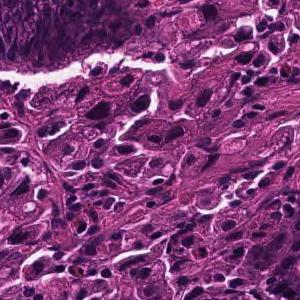
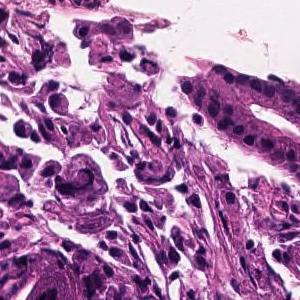
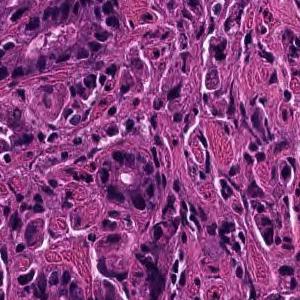
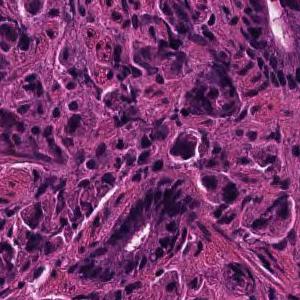
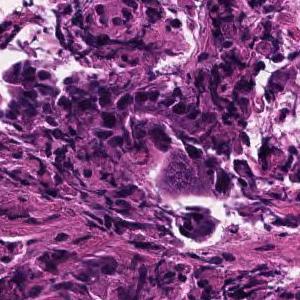
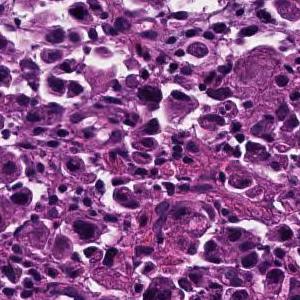
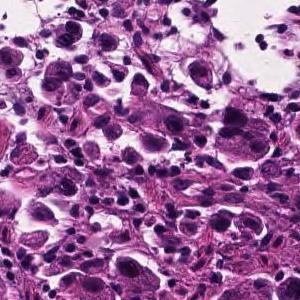
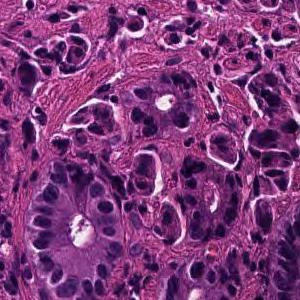
8 image tiles from a single gastric biopsy slide · hematoxylin and eosin stain.
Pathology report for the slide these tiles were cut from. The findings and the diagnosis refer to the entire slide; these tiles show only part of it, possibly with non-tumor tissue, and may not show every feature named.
Tumor tissue consisting of cord-like or small, irregular glandular ducts fused and infiltrated is observed in the superficial epithelium. Poorly differentiated adenocarcinoma, non-solid type
The term "non-solid type" comes from the Japanese Classification of Gastric Carcinoma.
